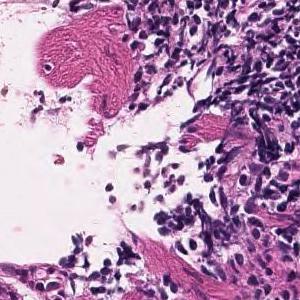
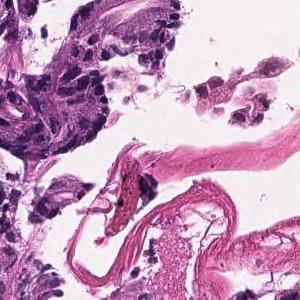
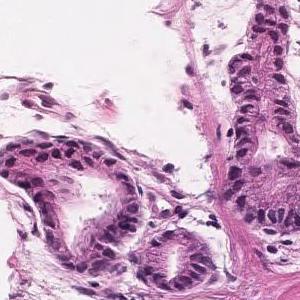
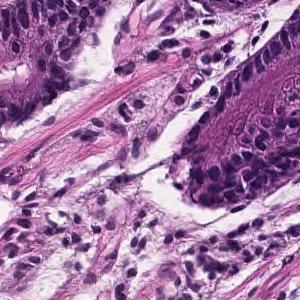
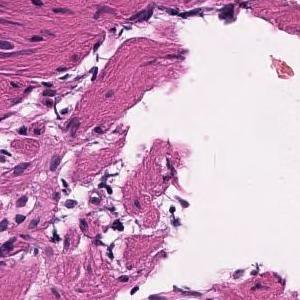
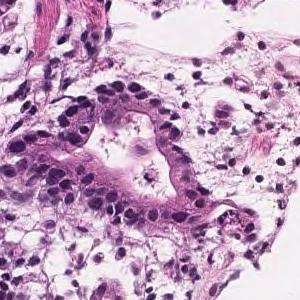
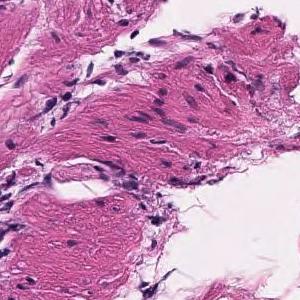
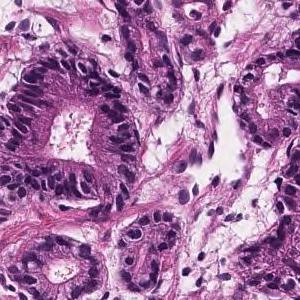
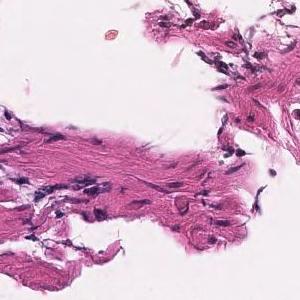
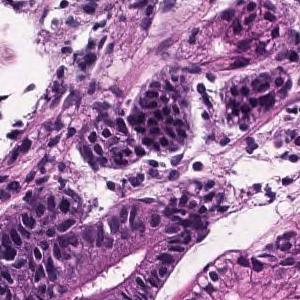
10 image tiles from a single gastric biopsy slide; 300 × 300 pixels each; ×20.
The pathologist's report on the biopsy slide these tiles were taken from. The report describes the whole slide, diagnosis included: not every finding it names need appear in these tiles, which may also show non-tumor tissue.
Tumor tissue with atypical epithelium showing irregular ductal or sieving ductal structure and proliferating is observed. Well to moderately differentiated tubular adenocarcinoma (well differentiated tubular adenocarcinoma-moderately differentiated tubular adenocarcinoma)
Histological subtype: Well to moderately differentiated tubular adenocarcinoma.
